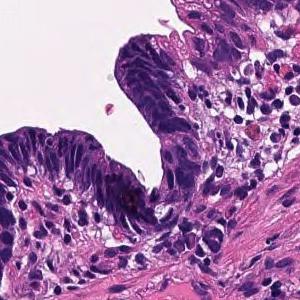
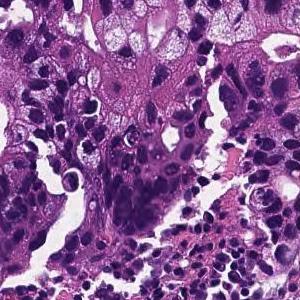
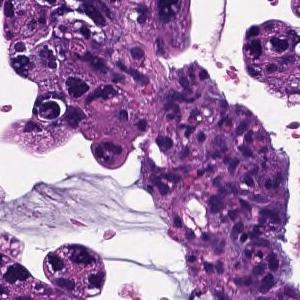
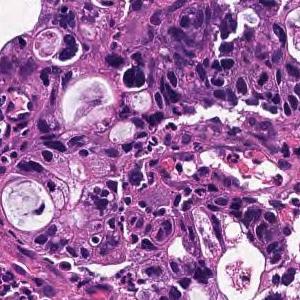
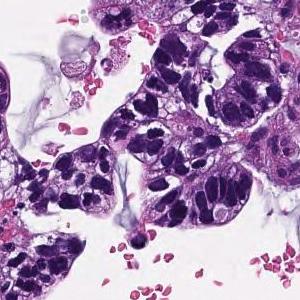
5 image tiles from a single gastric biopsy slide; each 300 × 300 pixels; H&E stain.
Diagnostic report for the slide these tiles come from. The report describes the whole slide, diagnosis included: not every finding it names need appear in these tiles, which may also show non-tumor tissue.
In the superficial epithelium, tumor tissue that invades by forming medium-sized to small, irregular ducts is observed. moderately differentiated tubular adenocarcinoma.
